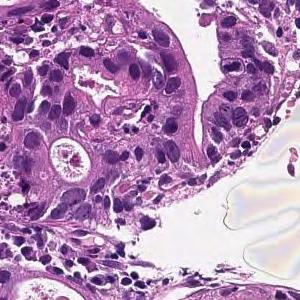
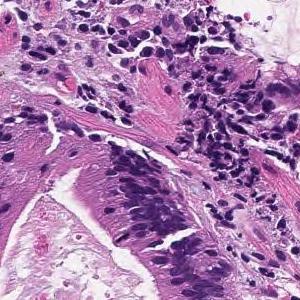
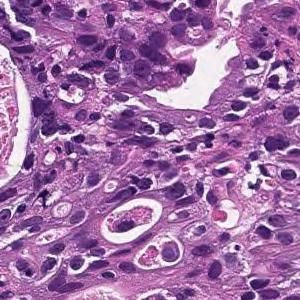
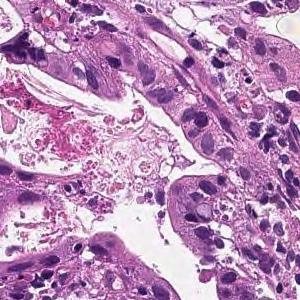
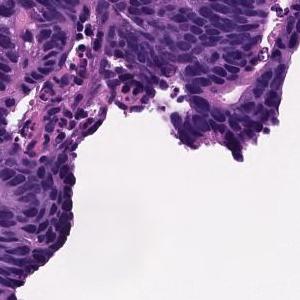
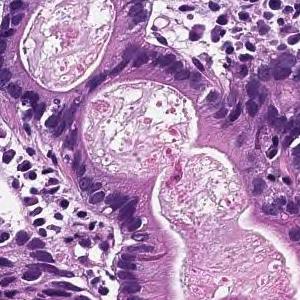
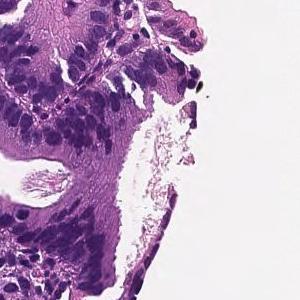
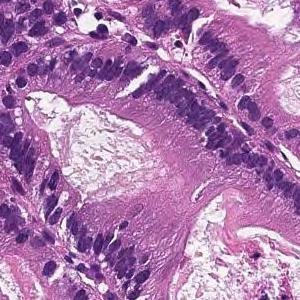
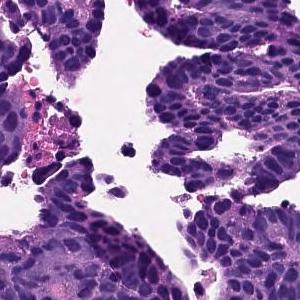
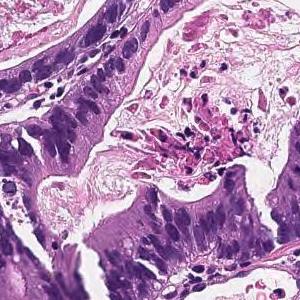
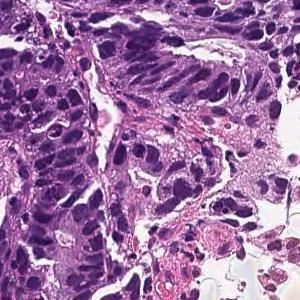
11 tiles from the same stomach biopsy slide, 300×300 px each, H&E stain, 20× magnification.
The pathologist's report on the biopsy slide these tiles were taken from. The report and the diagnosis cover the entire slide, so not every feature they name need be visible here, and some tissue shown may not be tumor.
In the superficial epithelium, tumor tissue that invades by forming medium-sized to small, irregular ducts is observed. moderately differentiated tubular adenocarcinoma.
